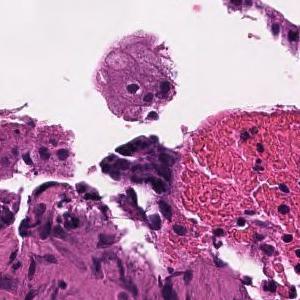
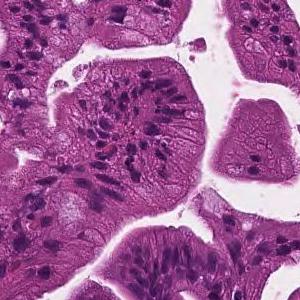
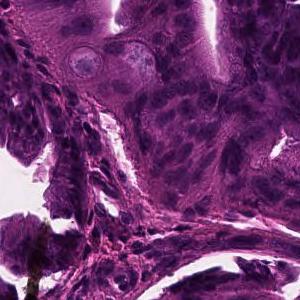
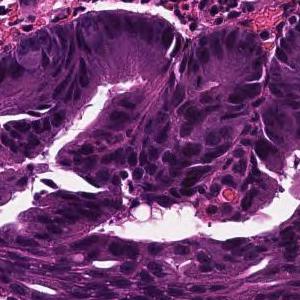
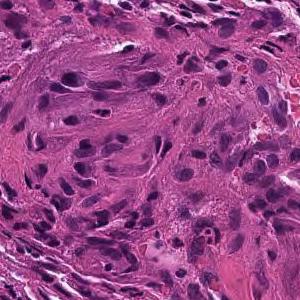
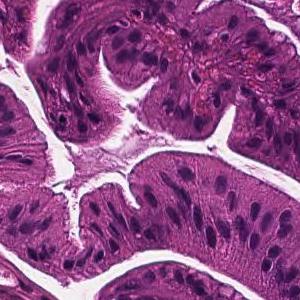
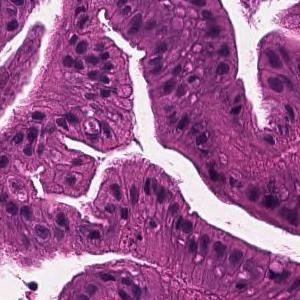
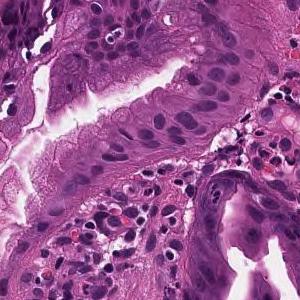
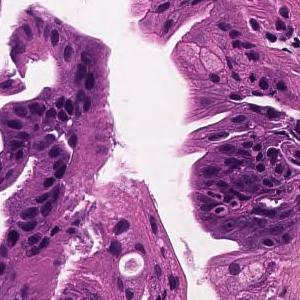
×20, H&E, 9 image tiles from a single gastric biopsy slide.
Report on the slide these tiles come from. What the report and the diagnosis say applies to the whole slide; these tiles may miss some of the features named and may include tissue that is not tumor.
Tumor cells are large, highly columnar, large club-shaped nuclei, and are associated with chromatin aggregation. Papillary adenocarcinoma.
